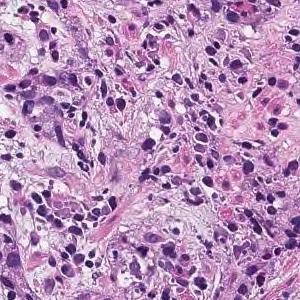
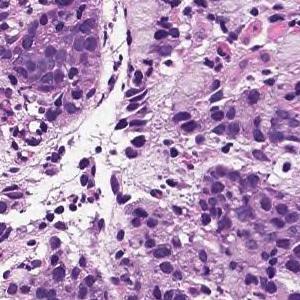
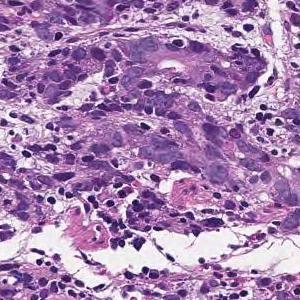
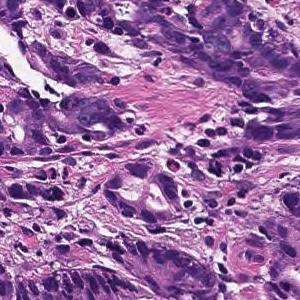
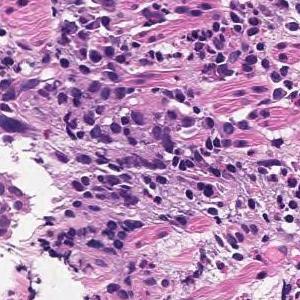
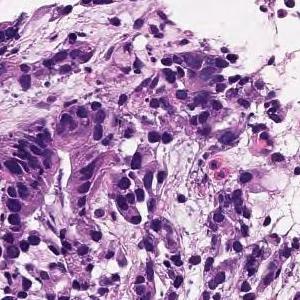
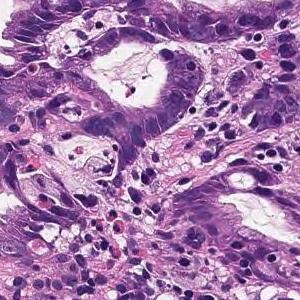
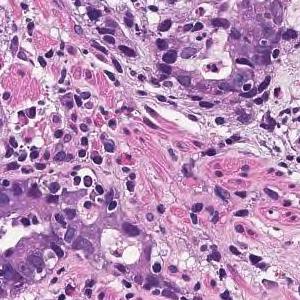
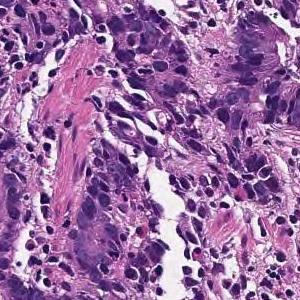
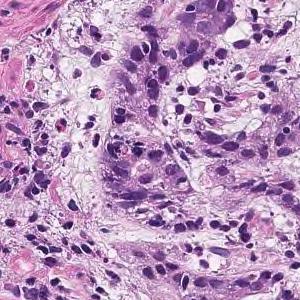
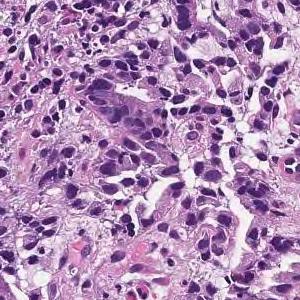
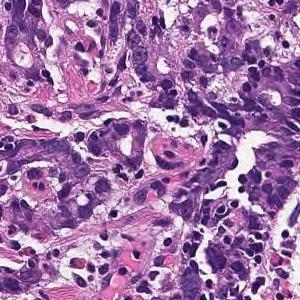
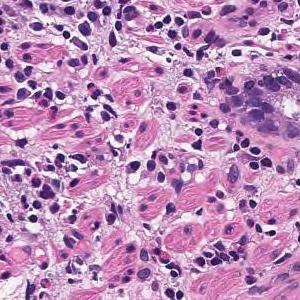
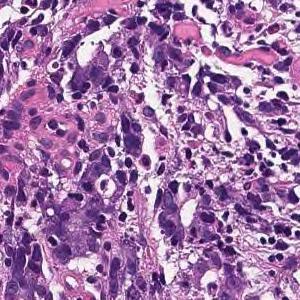
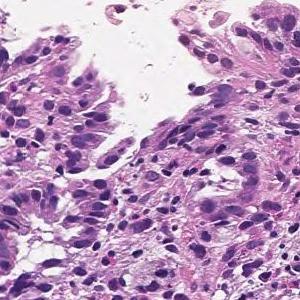
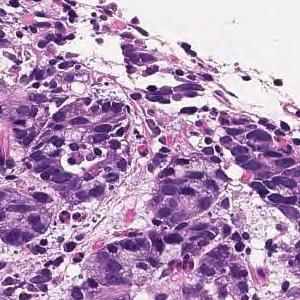
×20, H&E, 16 tiles cut from one stomach biopsy slide, each 300 × 300 pixels.
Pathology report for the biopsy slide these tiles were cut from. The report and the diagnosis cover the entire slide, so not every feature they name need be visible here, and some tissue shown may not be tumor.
Tumor tissue consisting of cord-like or small, irregular glandular ducts fused and infiltrated is observed in the superficial epithelium. Poorly differentiated adenocarcinoma, non-solid type
The non-solid type named here is a Japanese Classification of Gastric Carcinoma category.
